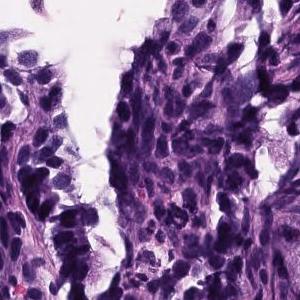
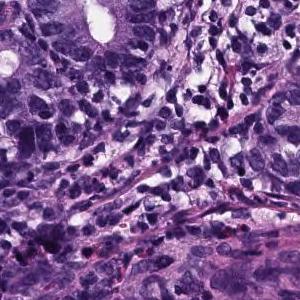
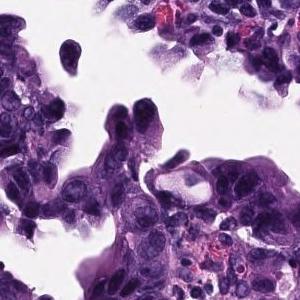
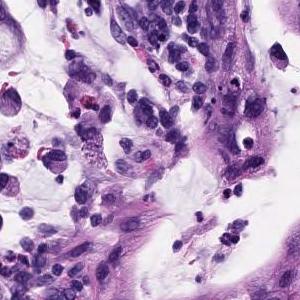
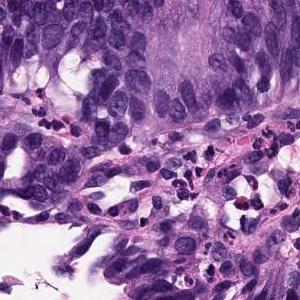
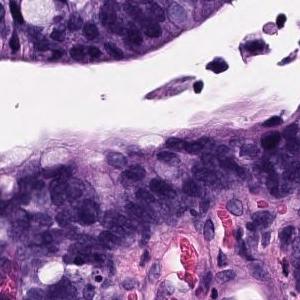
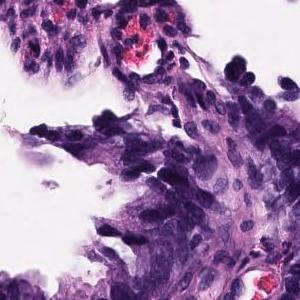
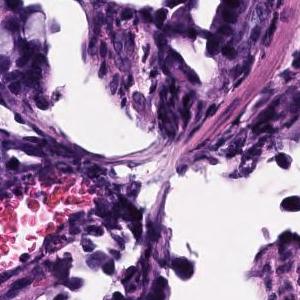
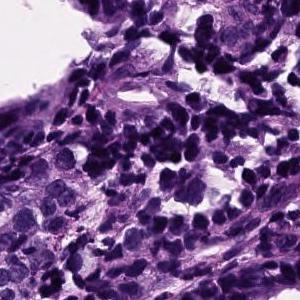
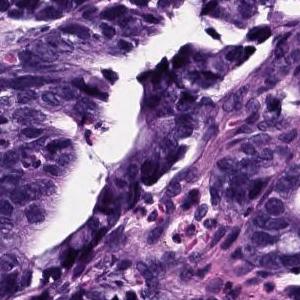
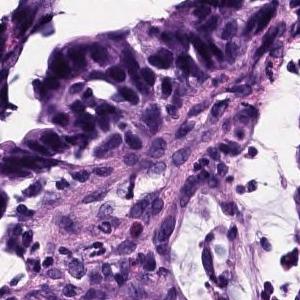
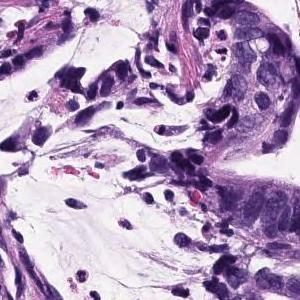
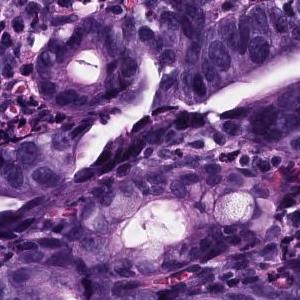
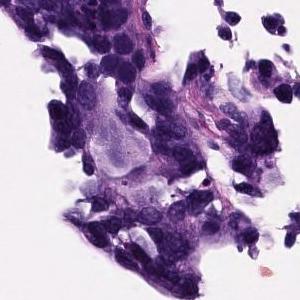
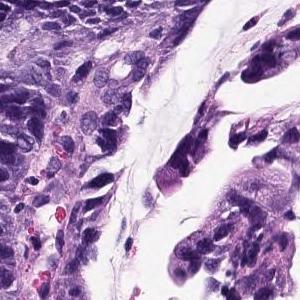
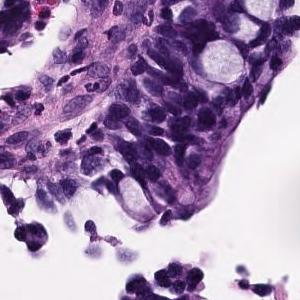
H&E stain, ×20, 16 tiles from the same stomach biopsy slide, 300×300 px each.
Pathology report for the slide these tiles were cut from. Both the report and the diagnosis are for the whole slide: these tiles need not show every feature named, and some of the tissue shown may not be tumor.
Atypical epithelium proliferating showing villus construction and irregular gland duct construction is observed. Moderately differentiated tubular adenocarcinoma.
